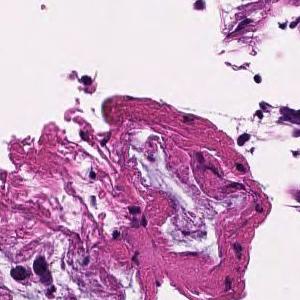
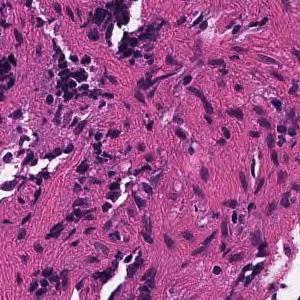
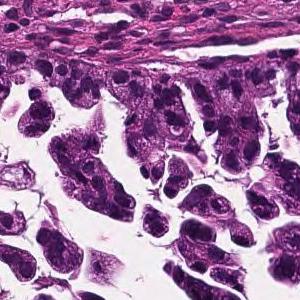
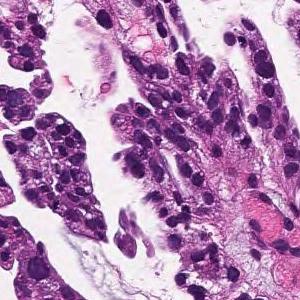
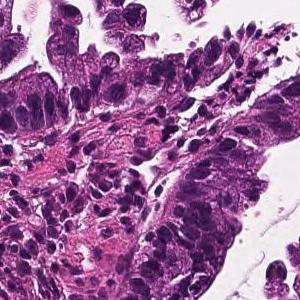
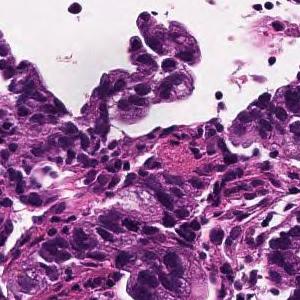
H&E stain, 6 tiles from the same stomach biopsy slide, 300×300 px each.
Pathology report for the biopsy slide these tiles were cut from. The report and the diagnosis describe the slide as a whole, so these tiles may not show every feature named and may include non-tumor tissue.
Tumor cells are large, highly columnar, large club-shaped nuclei, and are associated with chromatin aggregation. Papillary adenocarcinoma.
